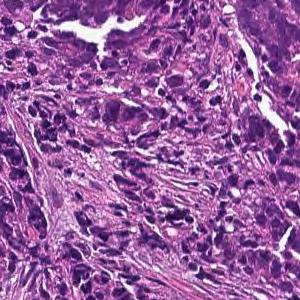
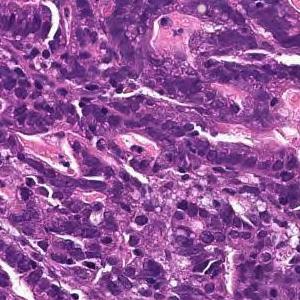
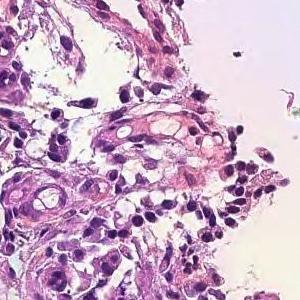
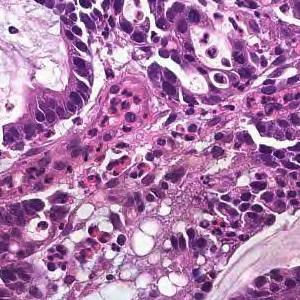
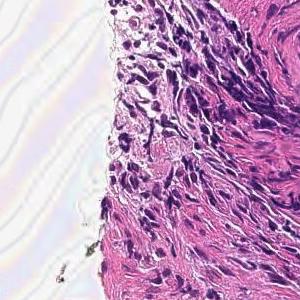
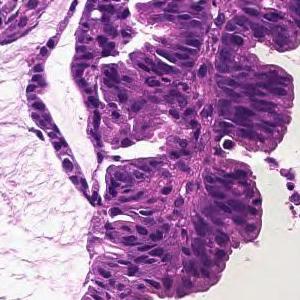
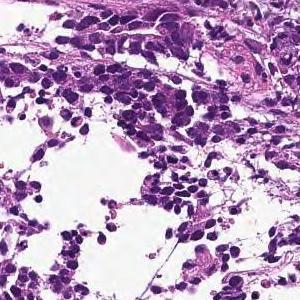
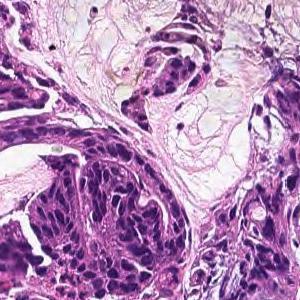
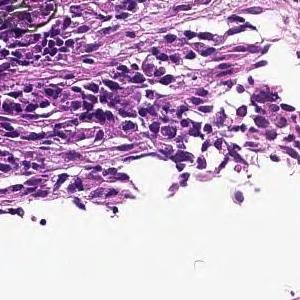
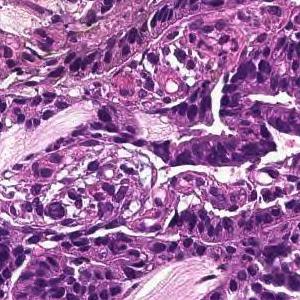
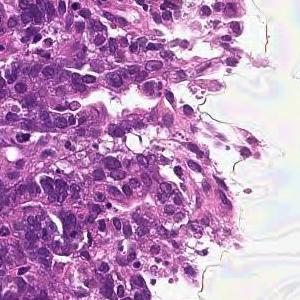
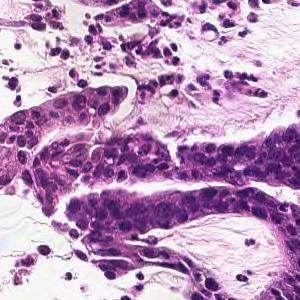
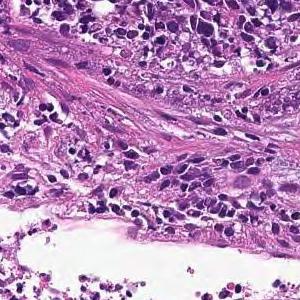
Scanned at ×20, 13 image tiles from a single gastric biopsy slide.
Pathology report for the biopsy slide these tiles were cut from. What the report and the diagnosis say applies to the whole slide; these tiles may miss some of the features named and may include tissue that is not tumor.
In the superficial epithelium, tumor tissue that invades by forming medium-sized to small, irregular ducts is observed. moderately differentiated tubular adenocarcinoma.
